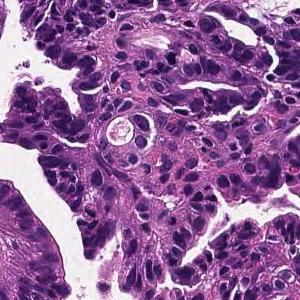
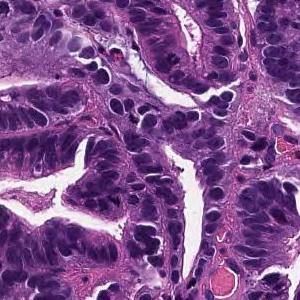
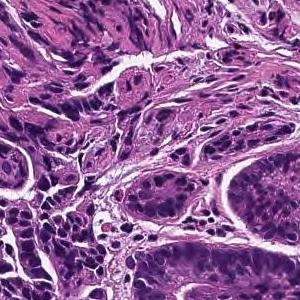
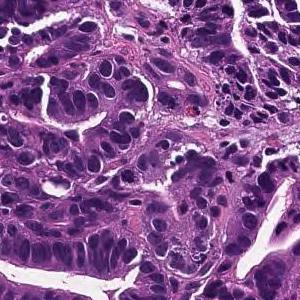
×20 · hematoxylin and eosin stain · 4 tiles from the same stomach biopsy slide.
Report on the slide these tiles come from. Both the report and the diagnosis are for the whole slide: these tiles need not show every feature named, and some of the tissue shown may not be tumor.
Tumor tissue consisting of large papillary structures is found in the superficial epithelium. Papillary adenocarcinoma.
